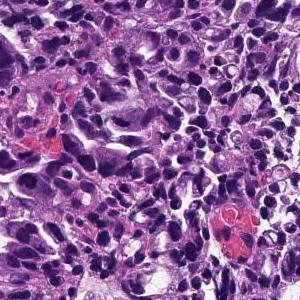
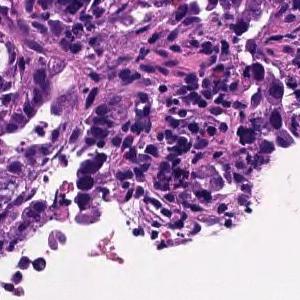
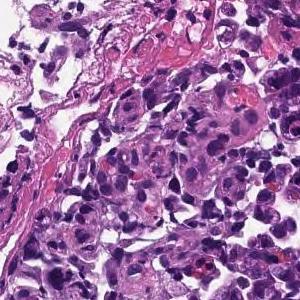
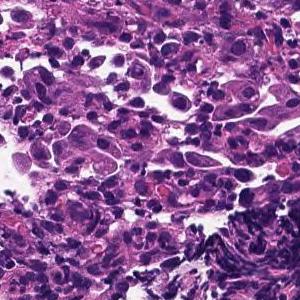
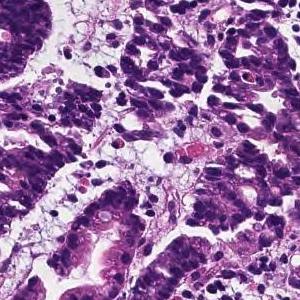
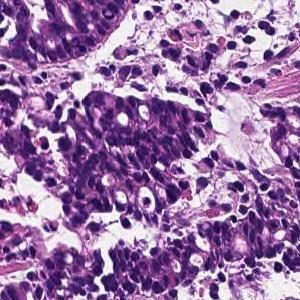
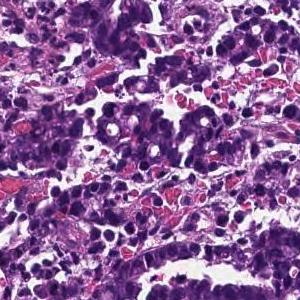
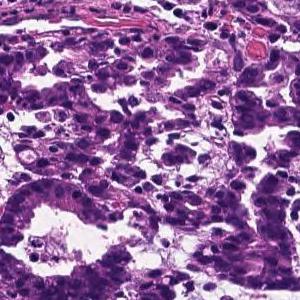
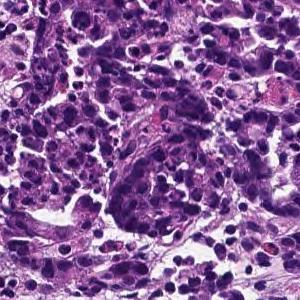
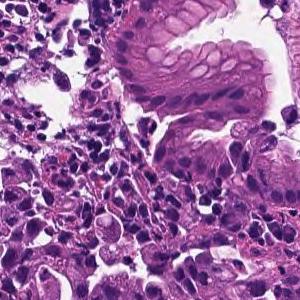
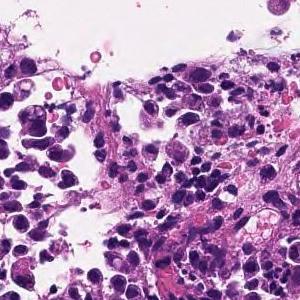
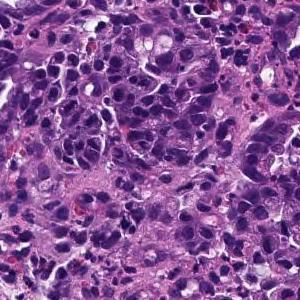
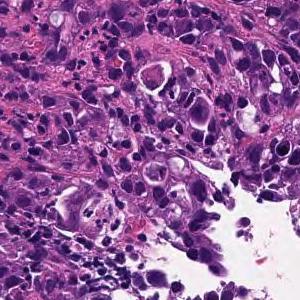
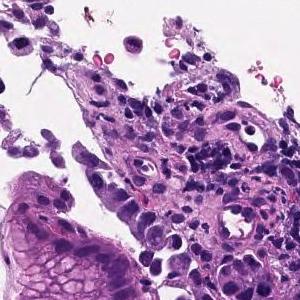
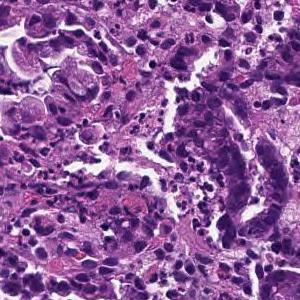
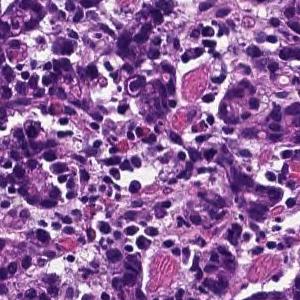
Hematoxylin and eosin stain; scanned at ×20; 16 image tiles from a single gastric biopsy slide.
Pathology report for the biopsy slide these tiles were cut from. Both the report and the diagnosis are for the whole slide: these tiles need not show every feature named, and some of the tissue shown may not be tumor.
In the superficial epithelium, tumor tissue that invades by forming medium-sized to small, irregular ducts is observed. moderately differentiated tubular adenocarcinoma.
